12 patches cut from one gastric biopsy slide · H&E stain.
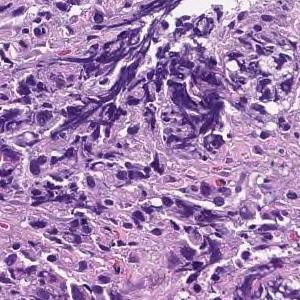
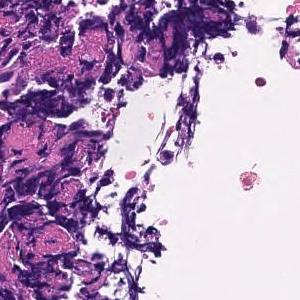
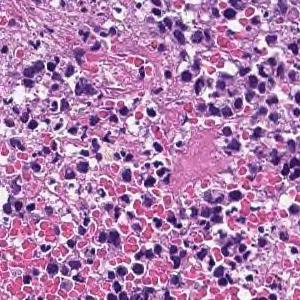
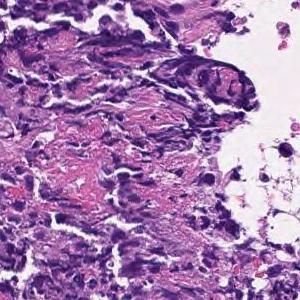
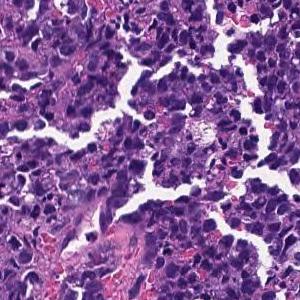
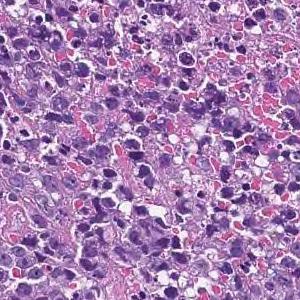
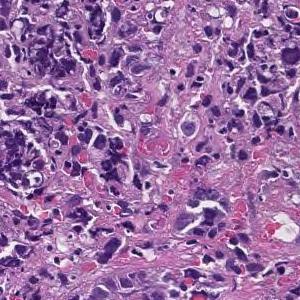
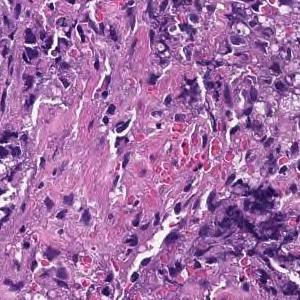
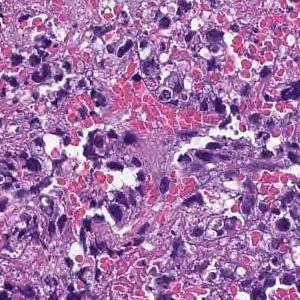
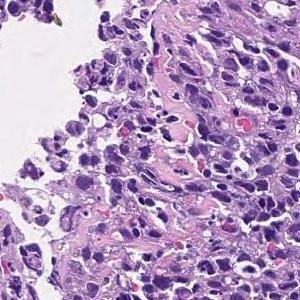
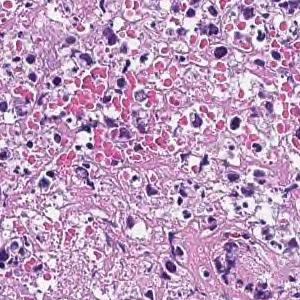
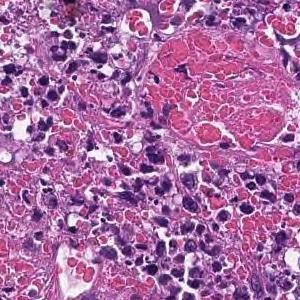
Pathology report for the slide these tiles were cut from. The findings and the diagnosis refer to the entire slide; these tiles show only part of it, possibly with non-tumor tissue, and may not show every feature named.
Most are composed of coagulative necrotic tissue, but some show a large sheet-like shape, and some show tumor tissue infiltrating with a small cord-like structure. Poorly differentiated adenocarcinoma, solid-type
Histological subtype: Poorly differentiated adenocarcinoma, solid type, a category of the Japanese Classification of Gastric Carcinoma; in the WHO 2019 classification it is tubular adenocarcinoma, poorly differentiated.
